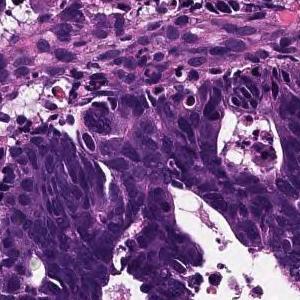
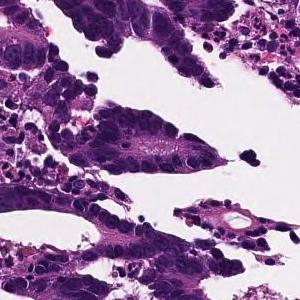
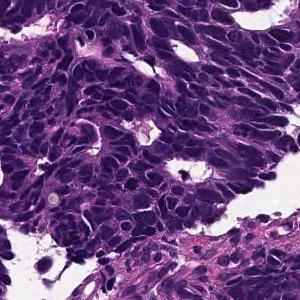
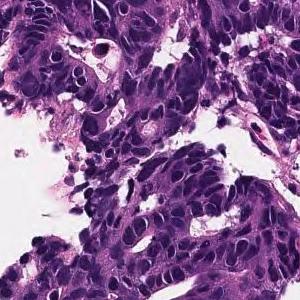
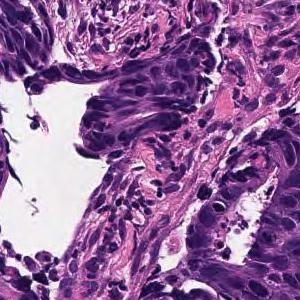
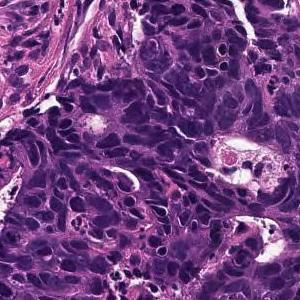
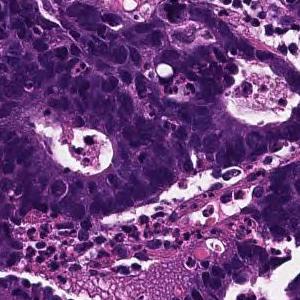
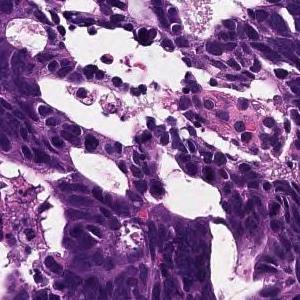
8 tiles from the same stomach biopsy slide · H&E · scanned at ×20.
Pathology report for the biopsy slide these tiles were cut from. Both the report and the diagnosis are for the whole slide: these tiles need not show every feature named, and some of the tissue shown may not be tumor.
In the superficial epithelium, tumor tissue that invades by forming medium-sized to small, irregular ducts is observed. moderately differentiated tubular adenocarcinoma.
